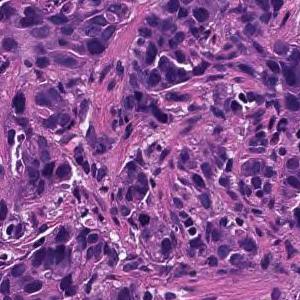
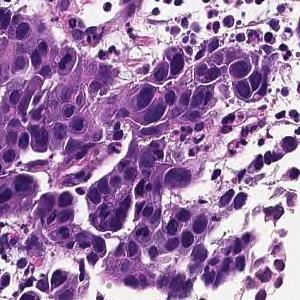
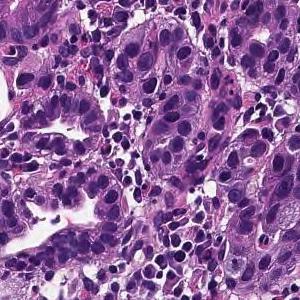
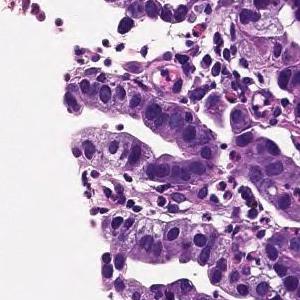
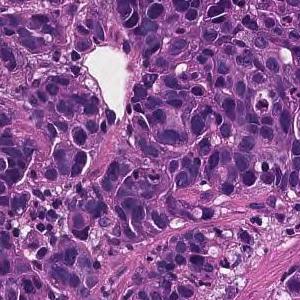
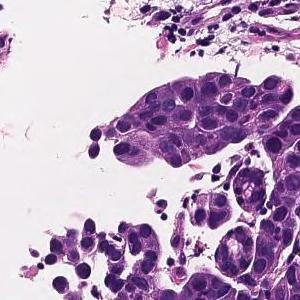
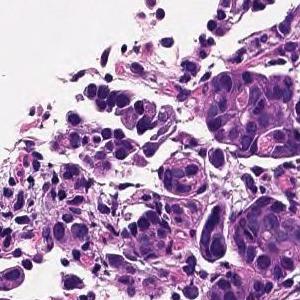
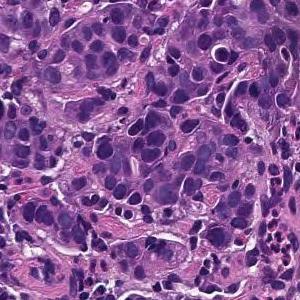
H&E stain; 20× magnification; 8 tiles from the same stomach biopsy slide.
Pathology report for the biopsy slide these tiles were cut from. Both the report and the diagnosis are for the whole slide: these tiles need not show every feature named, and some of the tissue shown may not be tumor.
The superficial epithelium shows small cord-like infiltrating tumor tissue. There is no mucin production in tumor cells. Poorly differentiated adenocarcinoma, non-solid type
"Non-solid type" is a category of the Japanese Classification of Gastric Carcinoma.
